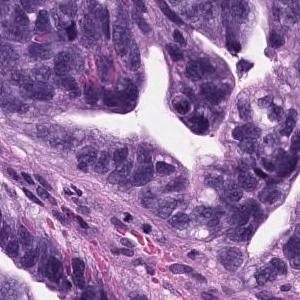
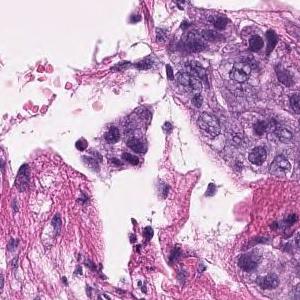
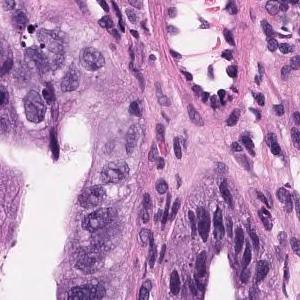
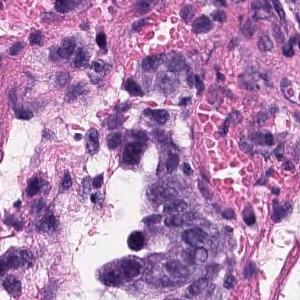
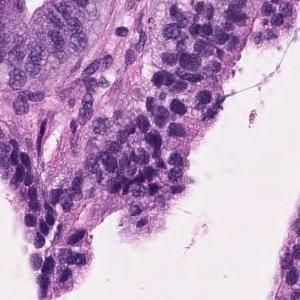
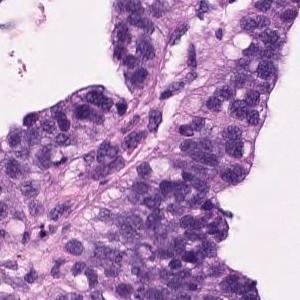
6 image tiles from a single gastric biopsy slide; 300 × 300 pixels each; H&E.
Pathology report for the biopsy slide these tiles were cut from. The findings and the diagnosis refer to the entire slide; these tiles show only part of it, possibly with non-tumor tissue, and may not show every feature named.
Tumor cells are large, highly columnar, large club-shaped nuclei, and are associated with chromatin aggregation. Papillary adenocarcinoma.
